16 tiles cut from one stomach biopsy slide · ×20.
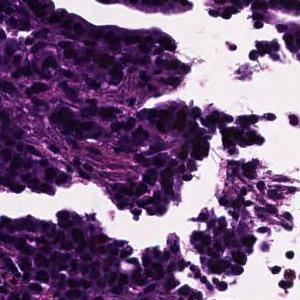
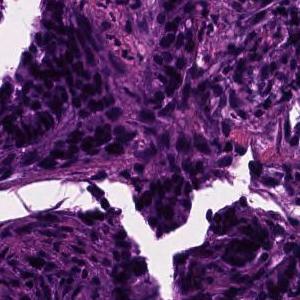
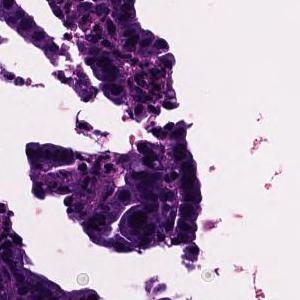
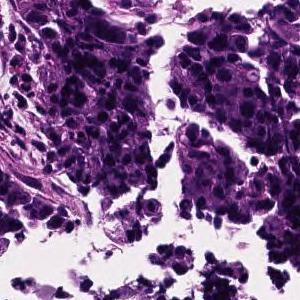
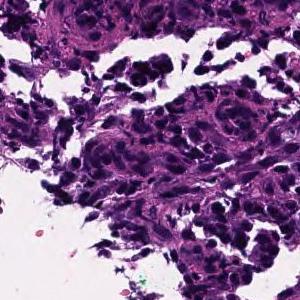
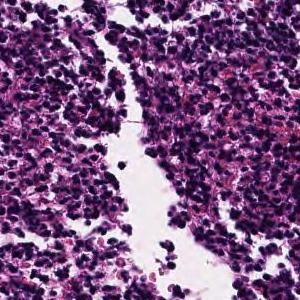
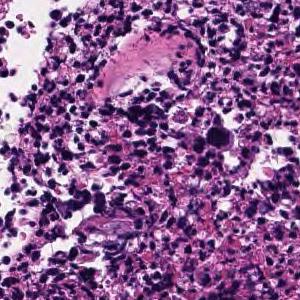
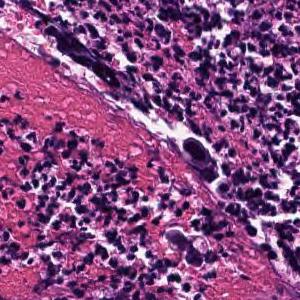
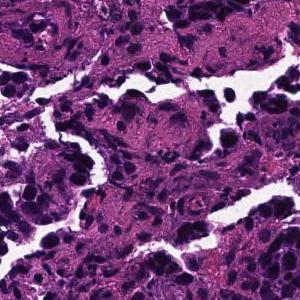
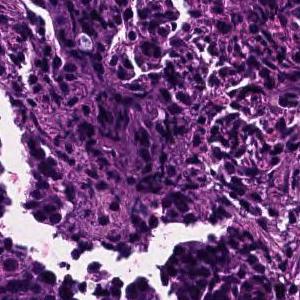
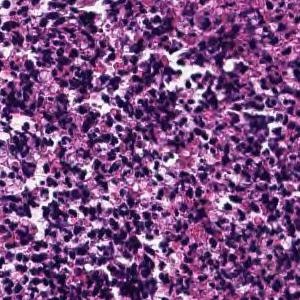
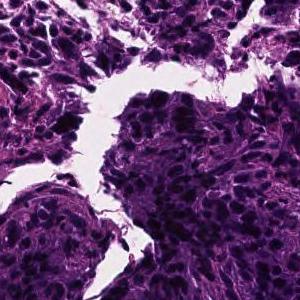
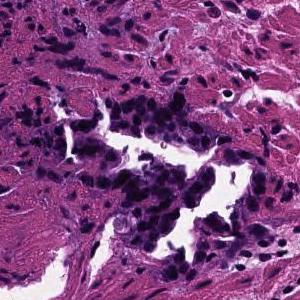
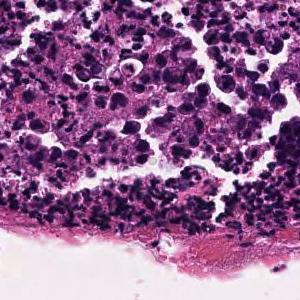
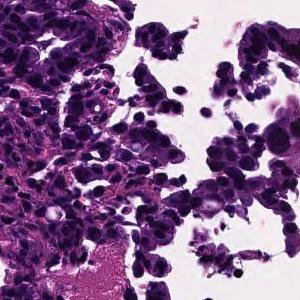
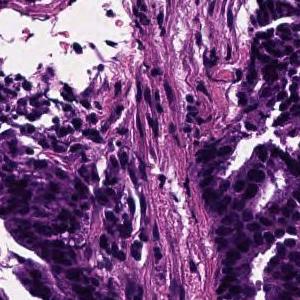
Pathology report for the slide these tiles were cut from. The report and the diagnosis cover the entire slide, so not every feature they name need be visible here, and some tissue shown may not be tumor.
In the superficial epithelium, tumor tissue that invades by forming medium-sized to small, irregular ducts is observed. moderately differentiated tubular adenocarcinoma.
